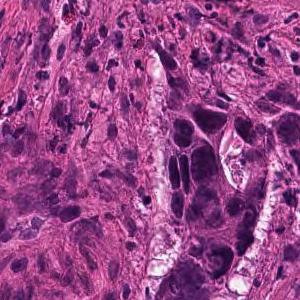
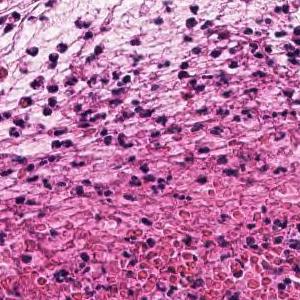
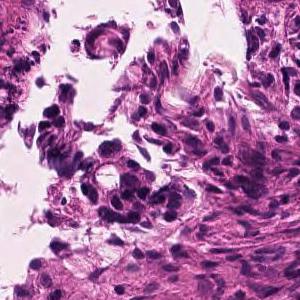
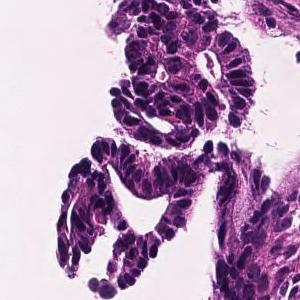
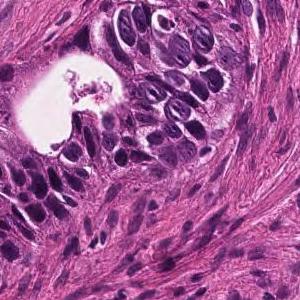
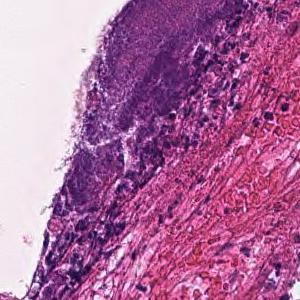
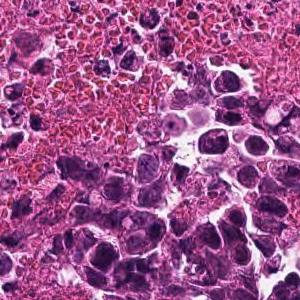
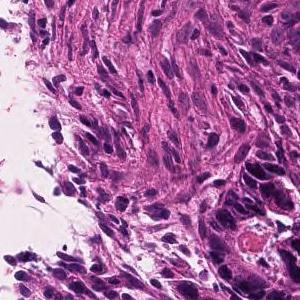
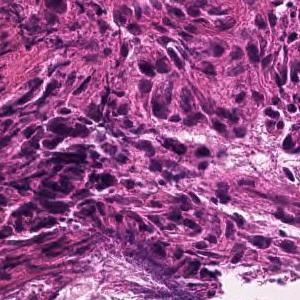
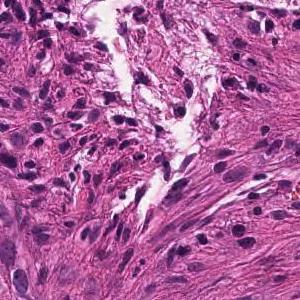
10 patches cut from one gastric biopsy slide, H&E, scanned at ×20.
Report on the slide these tiles come from. The report and the diagnosis describe the slide as a whole, so these tiles may not show every feature named and may include non-tumor tissue.
In the superficial epithelium, tumor tissue that invades by forming medium-sized to small, irregular ducts is observed. moderately differentiated tubular adenocarcinoma.
